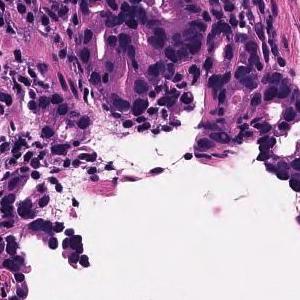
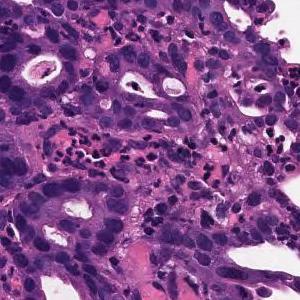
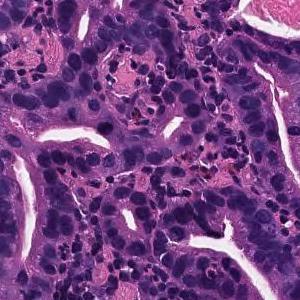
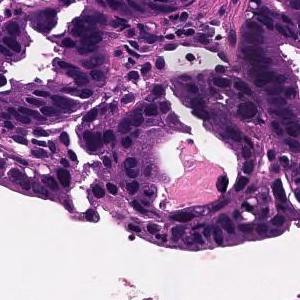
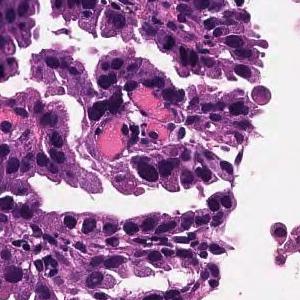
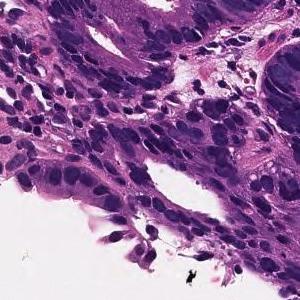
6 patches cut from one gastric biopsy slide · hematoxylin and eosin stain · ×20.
Pathology report for the biopsy slide these tiles were cut from. The report describes the whole slide, diagnosis included: not every finding it names need appear in these tiles, which may also show non-tumor tissue.
On the superficial epithelium, tumor tissue is found in which medium-sized irregular gland ducts fuse with each other and infiltrate. moderately differentiated tubular adenocarcinoma
